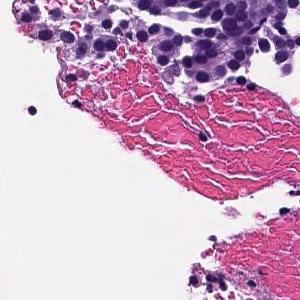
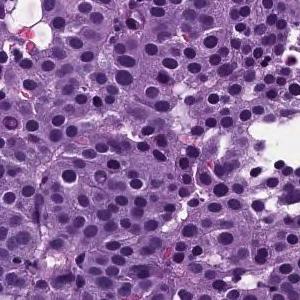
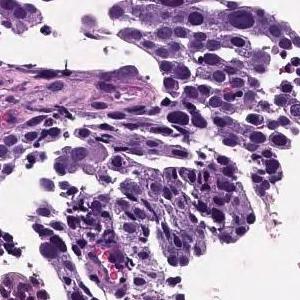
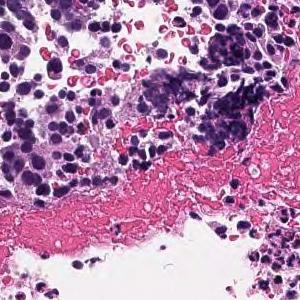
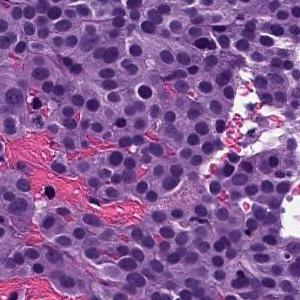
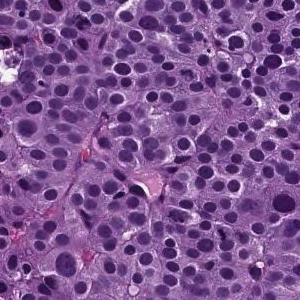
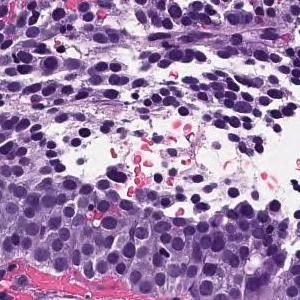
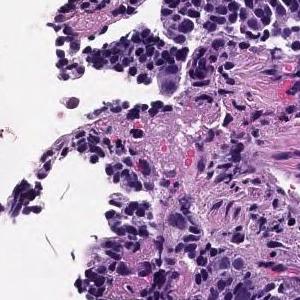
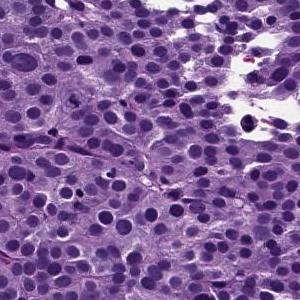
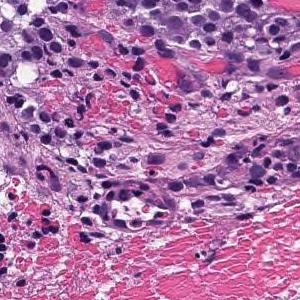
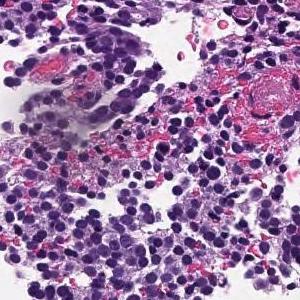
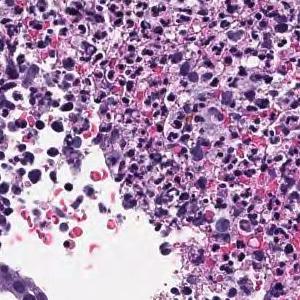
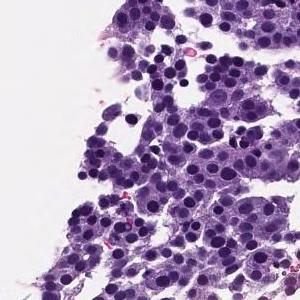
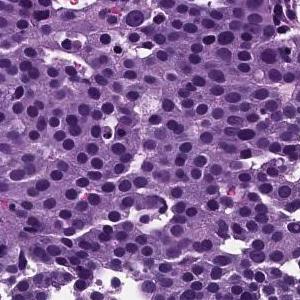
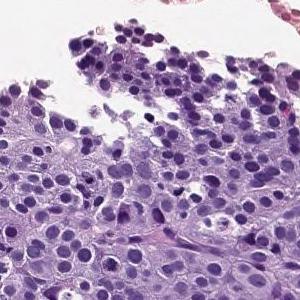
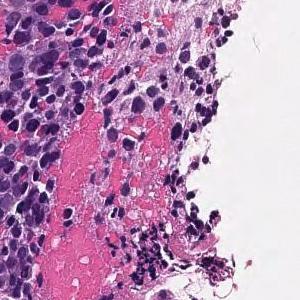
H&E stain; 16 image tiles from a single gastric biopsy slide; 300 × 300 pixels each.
Diagnostic report for the slide these tiles come from. What the report and the diagnosis say applies to the whole slide; these tiles may miss some of the features named and may include tissue that is not tumor.
The superficial epithelium shows a large sheet-like shape, and some tumor tissue infiltrates with small irregular ducts. Poorly differentiated adenocarcinoma, solid-type
Tumor subtype: poorly differentiated adenocarcinoma, solid type, a category of the Japanese Classification of Gastric Carcinoma; in the WHO 2019 classification it is tubular adenocarcinoma, poorly differentiated.
